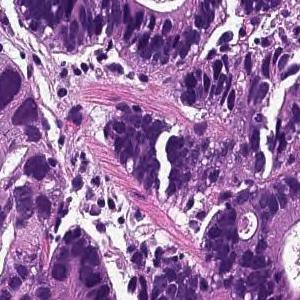
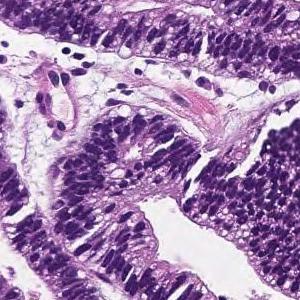
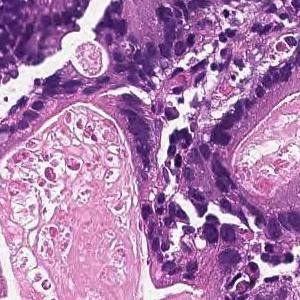
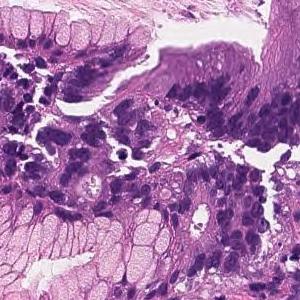
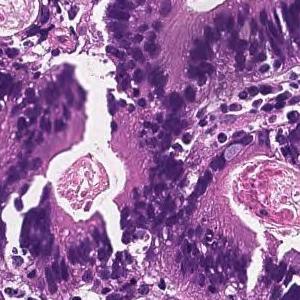
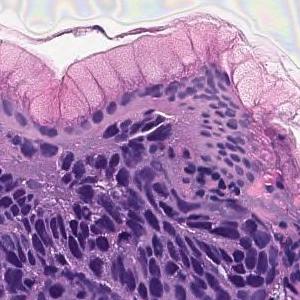
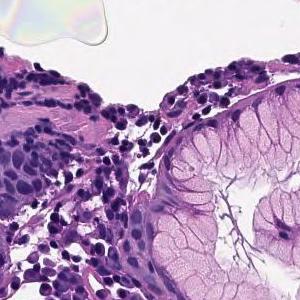
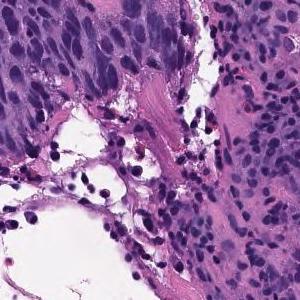
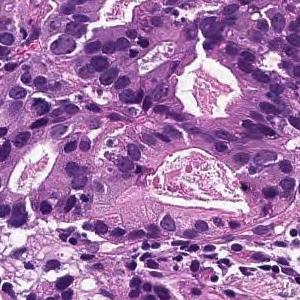
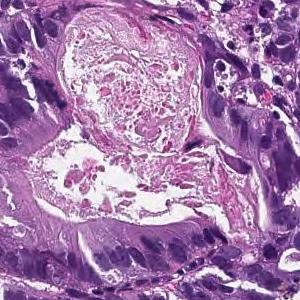
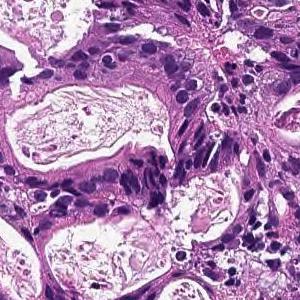
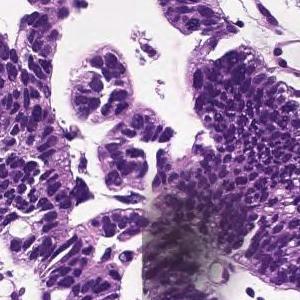
12 patches cut from one gastric biopsy slide · 300×300 px each · hematoxylin and eosin stain.
Diagnostic report for the slide these tiles come from. The report describes the whole slide, diagnosis included: not every finding it names need appear in these tiles, which may also show non-tumor tissue.
In the superficial epithelium, tumor tissue that invades by forming medium-sized to small, irregular ducts is observed. moderately differentiated tubular adenocarcinoma.
